Hematoxylin and eosin stain; ×20; 5 patches cut from one gastric biopsy slide; each 300 × 300 pixels.
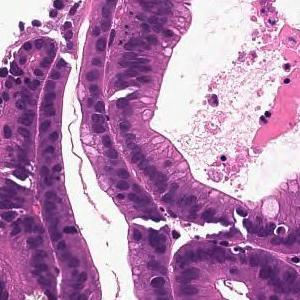
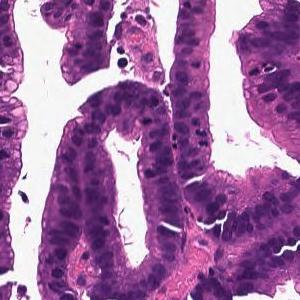
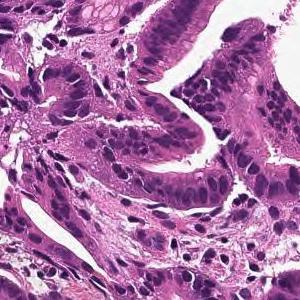
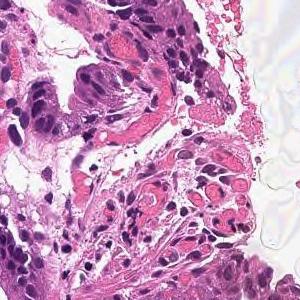
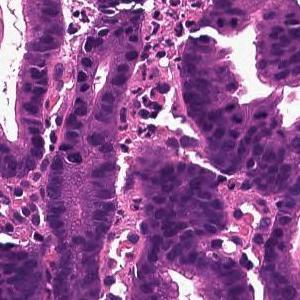
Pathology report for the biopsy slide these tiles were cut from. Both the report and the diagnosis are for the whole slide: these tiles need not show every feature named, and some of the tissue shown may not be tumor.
From the superficial epithelium to the muscularis mucosae, tumor tissue consisting of medium-sized and irregular glandular ducts infiltrating is observed. Well differentiated tubular adenocarcinoma
